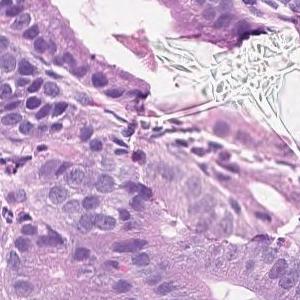
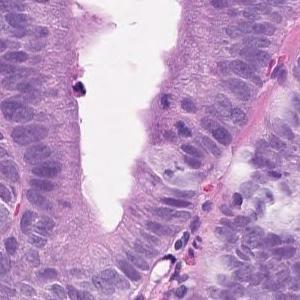
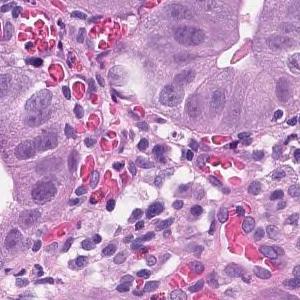
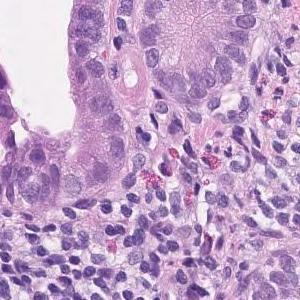
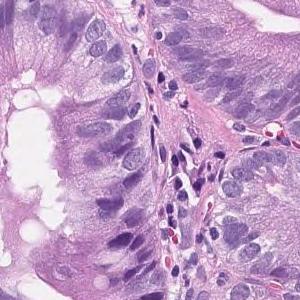
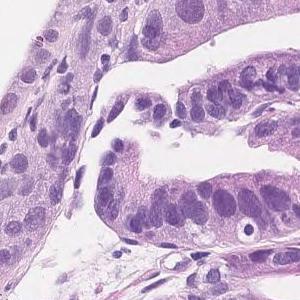
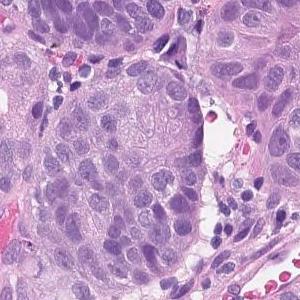
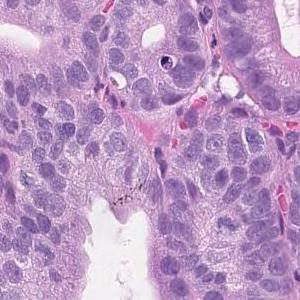
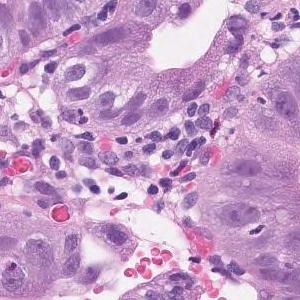
9 image tiles from a single gastric biopsy slide · 300×300 px each · H&E.
Pathology report for the slide these tiles were cut from. What the report and the diagnosis say applies to the whole slide; these tiles may miss some of the features named and may include tissue that is not tumor.
Tumor tissue consisting of medium-sized and irregular ducts is observed infiltrating in the superficial epithelium. Tumor cells are highly columnar, with nuclei aligned basolaterally and polarized. Well differentiated tubular adenocarcinoma.
